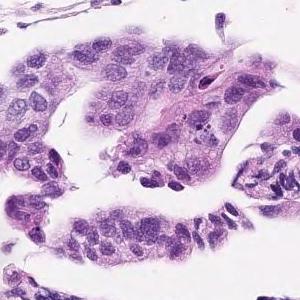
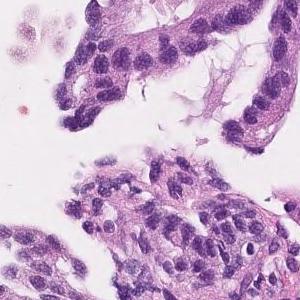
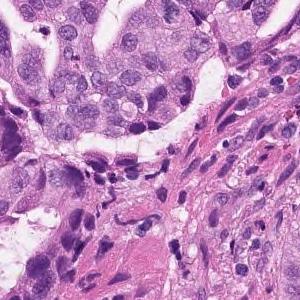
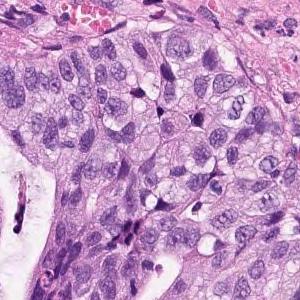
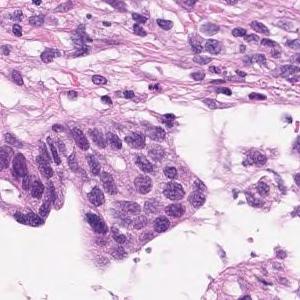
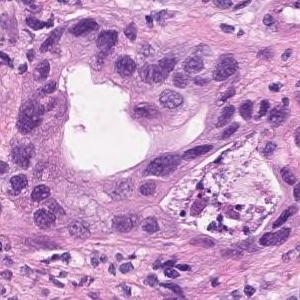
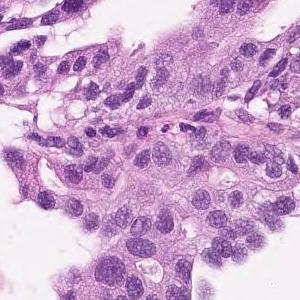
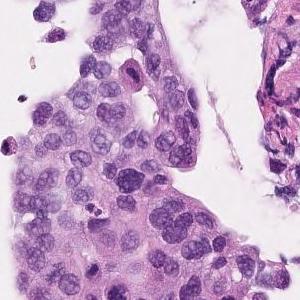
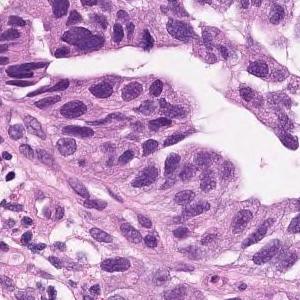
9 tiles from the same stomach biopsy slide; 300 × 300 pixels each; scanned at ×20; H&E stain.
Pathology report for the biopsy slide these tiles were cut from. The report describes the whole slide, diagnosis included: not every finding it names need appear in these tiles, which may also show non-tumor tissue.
Atypical epithelium forming papillary or sieving ducts and infiltrating growth is observed. Papillary adenocarcinoma.
